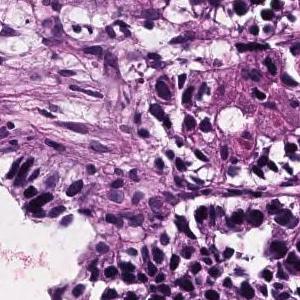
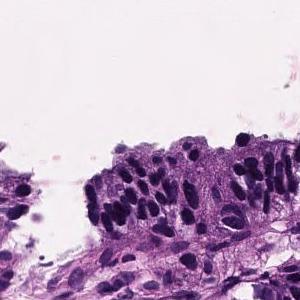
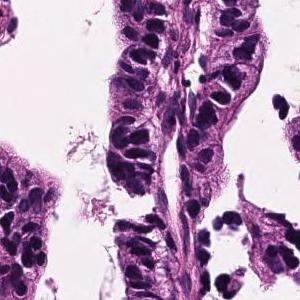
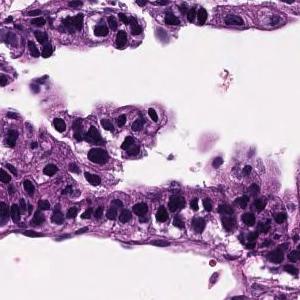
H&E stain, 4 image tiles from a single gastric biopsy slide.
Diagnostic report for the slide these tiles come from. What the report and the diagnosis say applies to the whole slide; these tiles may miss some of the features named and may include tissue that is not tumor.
Tumor cells are large, highly columnar, large club-shaped nuclei, and are associated with chromatin aggregation. Papillary adenocarcinoma.
